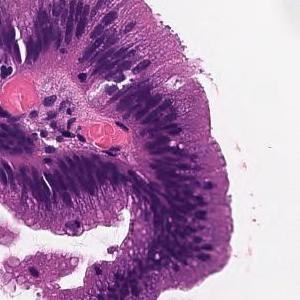
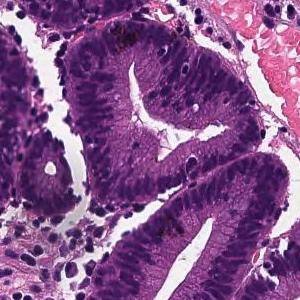
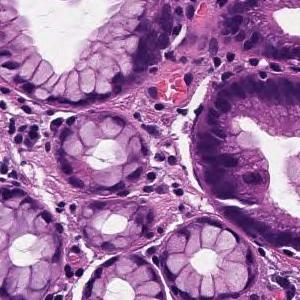
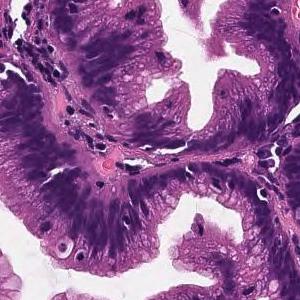
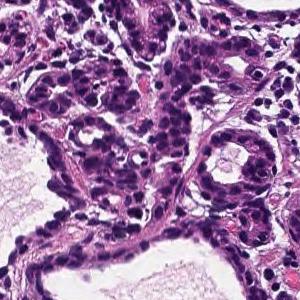
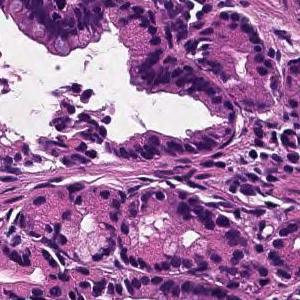
6 tiles cut from one stomach biopsy slide; H&E stain.
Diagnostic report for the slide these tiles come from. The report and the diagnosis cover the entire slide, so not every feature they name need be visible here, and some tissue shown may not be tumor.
Cells with elliptical or atypical nuclei form dense ducts with relatively clear growth. Well differentiated tubular adenocarcinoma
